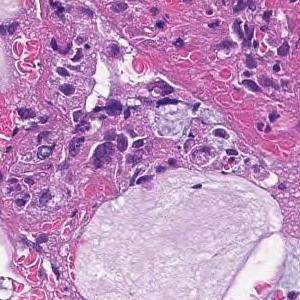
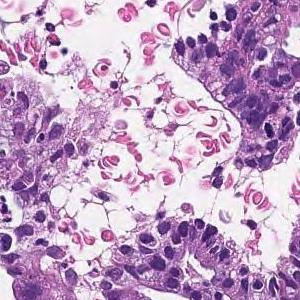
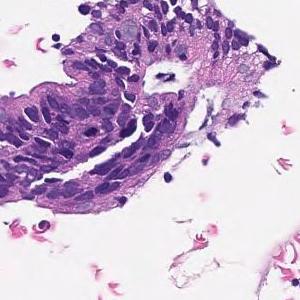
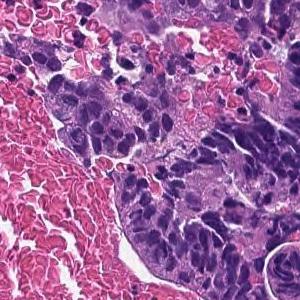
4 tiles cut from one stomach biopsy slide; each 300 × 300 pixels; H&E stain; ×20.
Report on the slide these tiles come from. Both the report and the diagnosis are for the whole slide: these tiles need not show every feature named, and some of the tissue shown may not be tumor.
In the superficial epithelium, tumor tissue that invades by forming medium-sized to small, irregular ducts is observed. moderately differentiated tubular adenocarcinoma.
